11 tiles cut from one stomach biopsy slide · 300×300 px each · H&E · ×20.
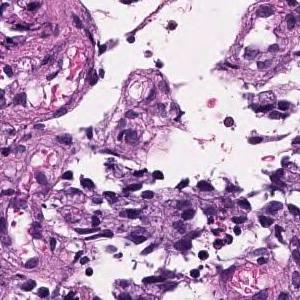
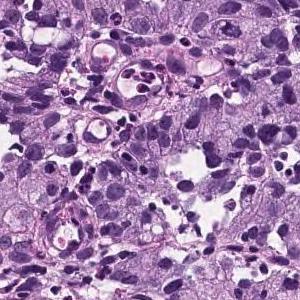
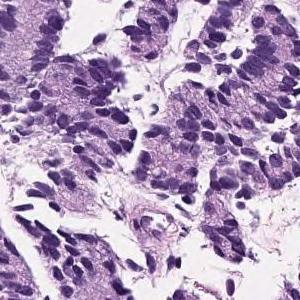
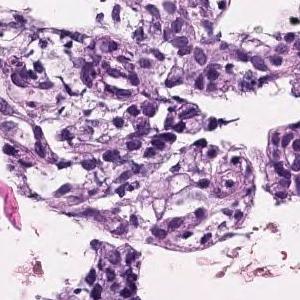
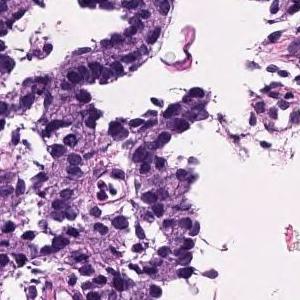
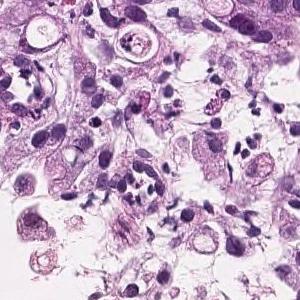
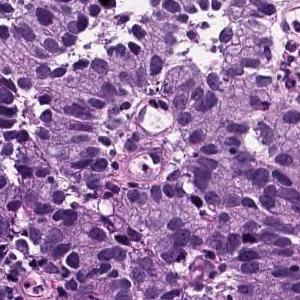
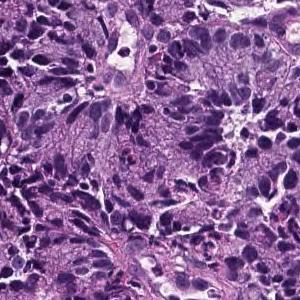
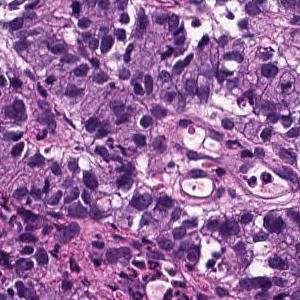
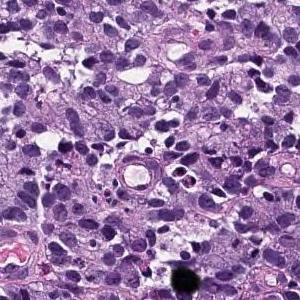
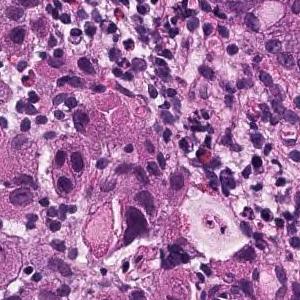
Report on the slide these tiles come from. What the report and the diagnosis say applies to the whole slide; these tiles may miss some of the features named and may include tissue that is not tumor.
Tumor tissue infiltrated by irregular fusion of small cord-like structures is found in the superficial epithelium. Poorly differentiated adenocarcinoma, non-solid type
The non-solid type named here is a Japanese Classification of Gastric Carcinoma category.
